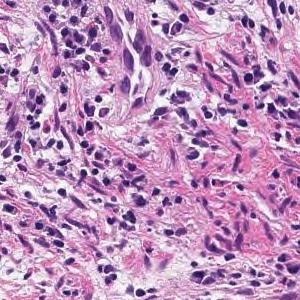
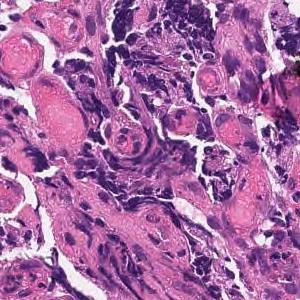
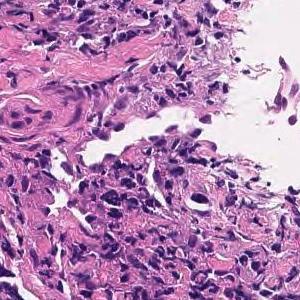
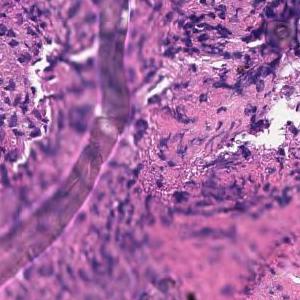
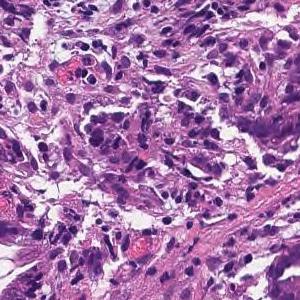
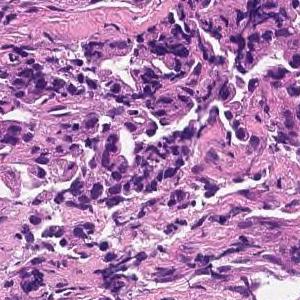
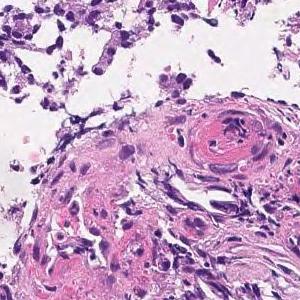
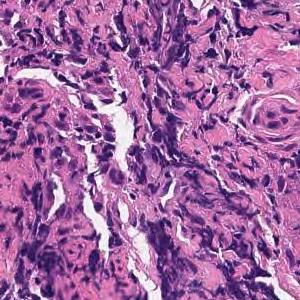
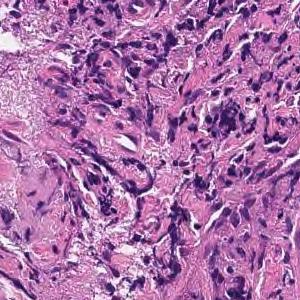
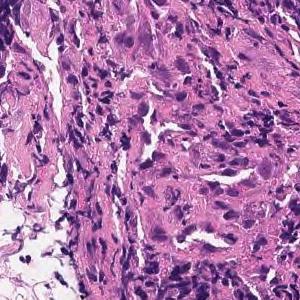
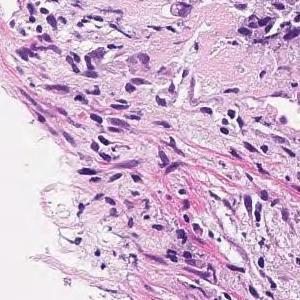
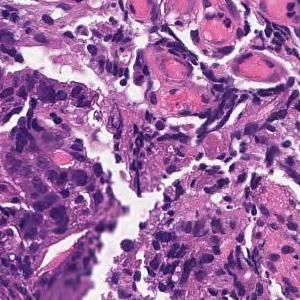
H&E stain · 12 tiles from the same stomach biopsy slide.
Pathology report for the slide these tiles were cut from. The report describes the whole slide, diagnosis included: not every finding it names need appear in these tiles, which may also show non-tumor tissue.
Tumor tissue consisting of medium-sized, cord-like or irregular glandular infiltration is observed in the superficial epithelium. Poorly differentiated adenocarcinoma, non-solid type or moderately differentiated tubular adenocarcinoma
Subtype: Moderately to poorly differentiated adenocarcinoma.
The term "non-solid type" comes from the Japanese Classification of Gastric Carcinoma.
